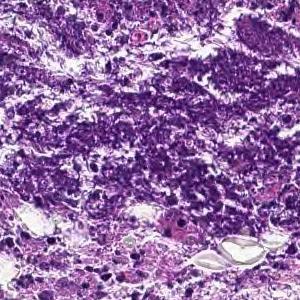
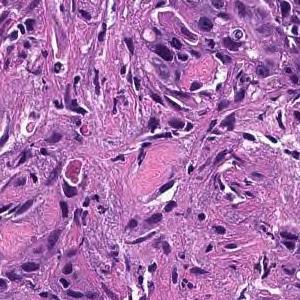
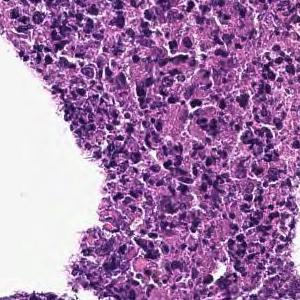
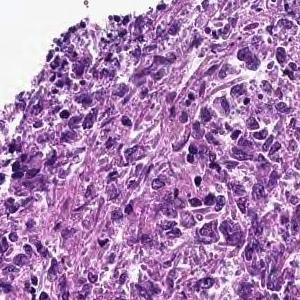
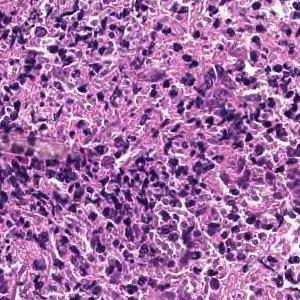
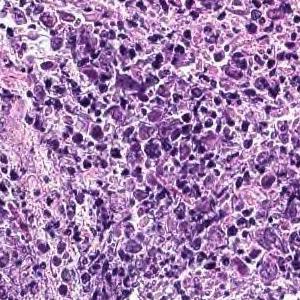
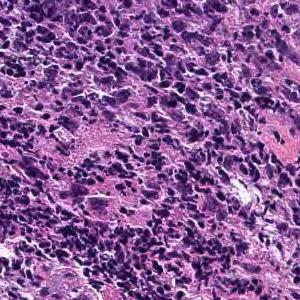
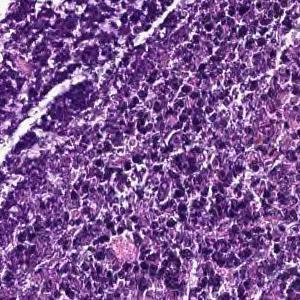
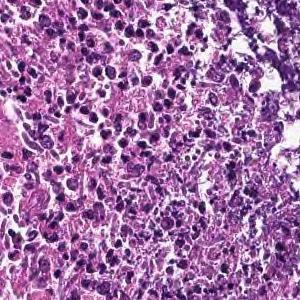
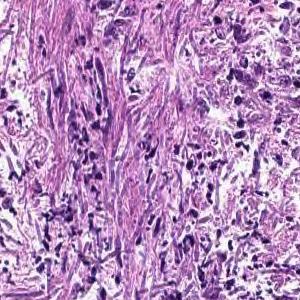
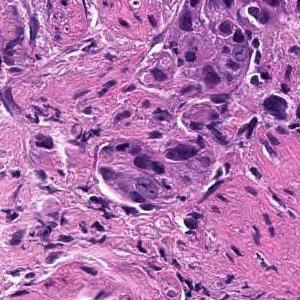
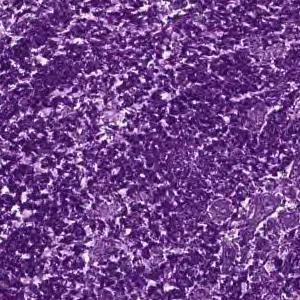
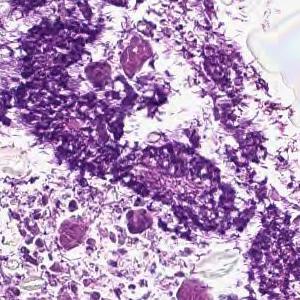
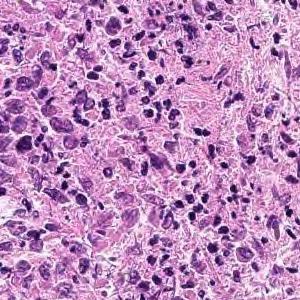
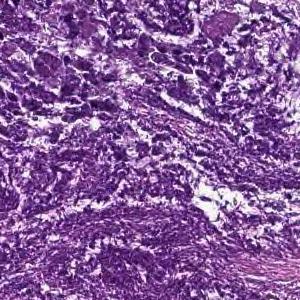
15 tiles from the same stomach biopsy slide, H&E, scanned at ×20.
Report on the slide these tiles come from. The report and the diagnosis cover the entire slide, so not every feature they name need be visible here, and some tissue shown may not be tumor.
Cancers with polygonal nuclei do not show glandular formation and are densely, in part, cord-like and proliferate. Poorly differentiated adenocarcinoma
Tumor subtype: poorly differentiated adenocarcinoma, non-solid type.
The non-solid type named here is a Japanese Classification of Gastric Carcinoma category.
